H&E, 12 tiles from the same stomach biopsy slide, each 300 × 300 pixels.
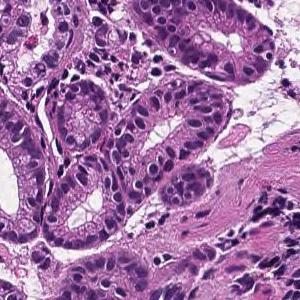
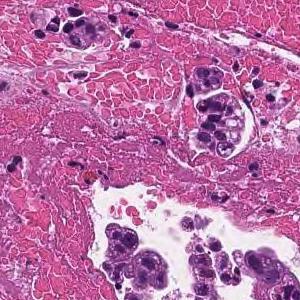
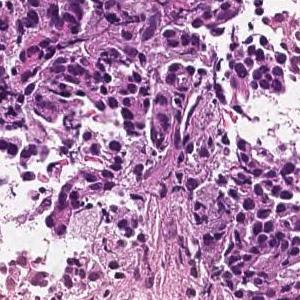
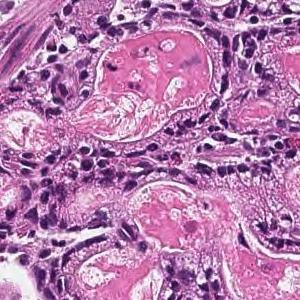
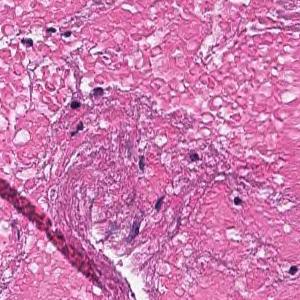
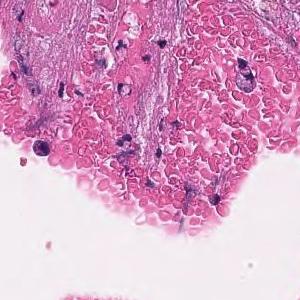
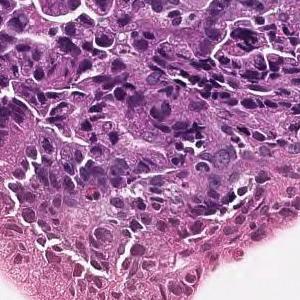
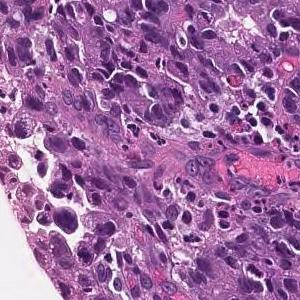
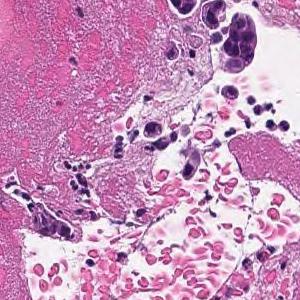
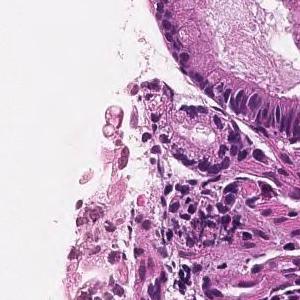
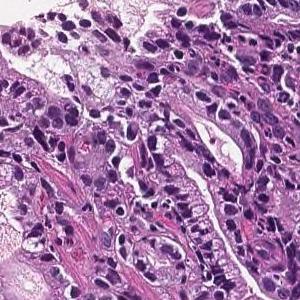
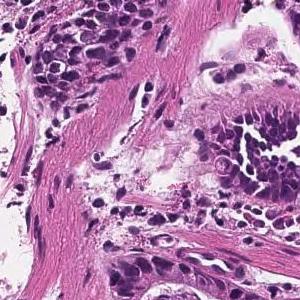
Pathology report for the slide these tiles were cut from. The report describes the whole slide, diagnosis included: not every finding it names need appear in these tiles, which may also show non-tumor tissue.
On the superficial epithelium, tumor tissue that infiltrates by forming medium-sized papillary or small irregular ducts is observed. Papillary adenocarcinoma
